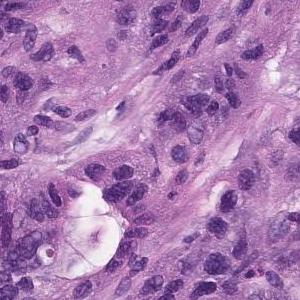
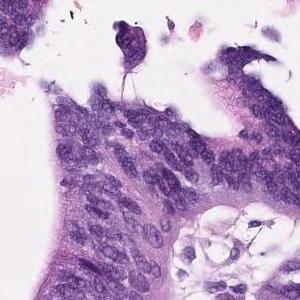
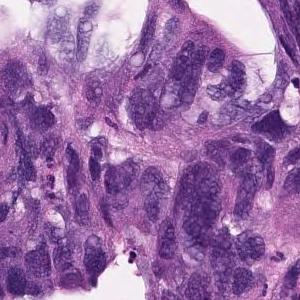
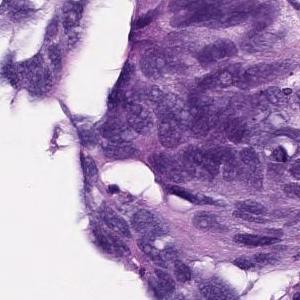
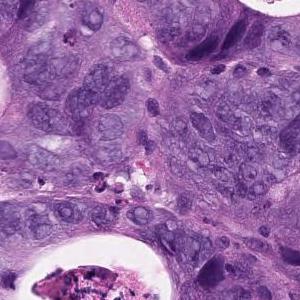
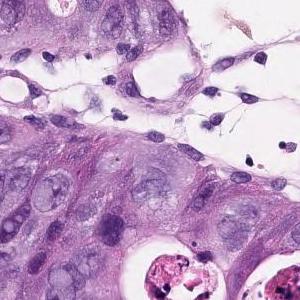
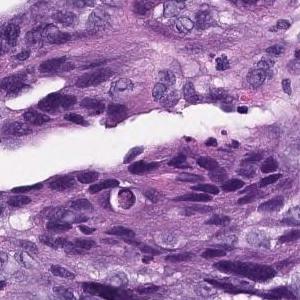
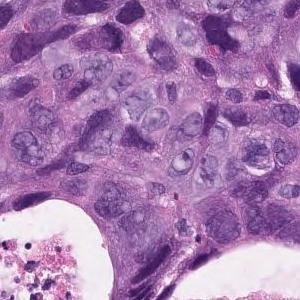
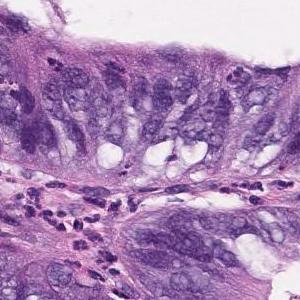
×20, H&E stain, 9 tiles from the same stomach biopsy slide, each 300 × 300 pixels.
Diagnostic report for the slide these tiles come from. The report and the diagnosis describe the slide as a whole, so these tiles may not show every feature named and may include non-tumor tissue.
In the superficial epithelium, tumor tissue that invades by forming medium-sized to small, irregular ducts is observed. Moderately differentiated adenocarcinoma.
Classified as moderately differentiated tubular adenocarcinoma.
